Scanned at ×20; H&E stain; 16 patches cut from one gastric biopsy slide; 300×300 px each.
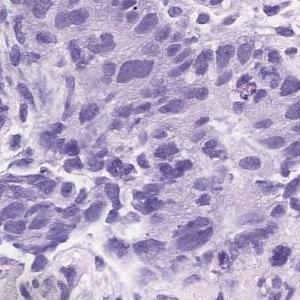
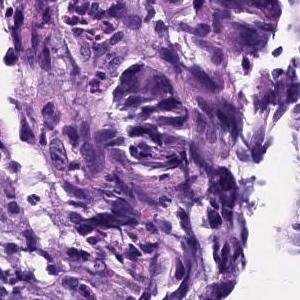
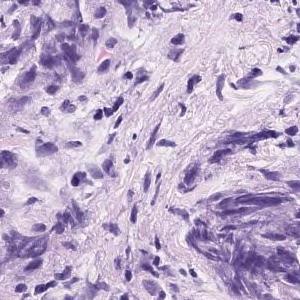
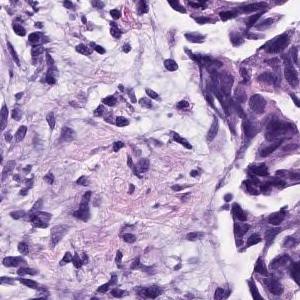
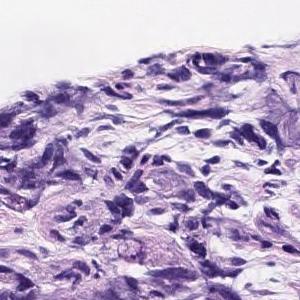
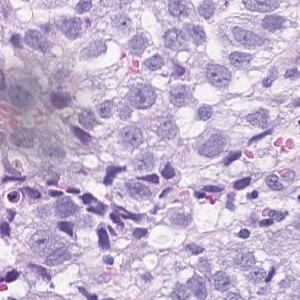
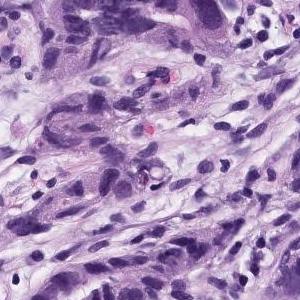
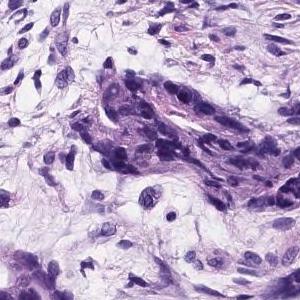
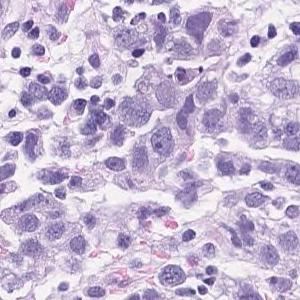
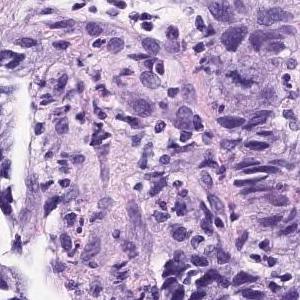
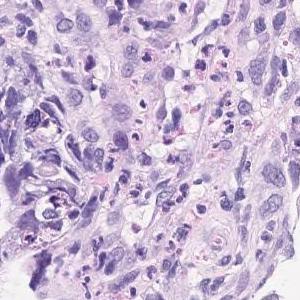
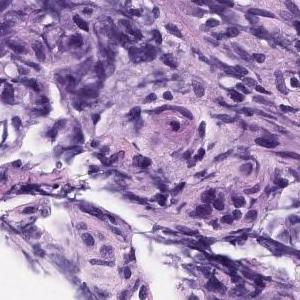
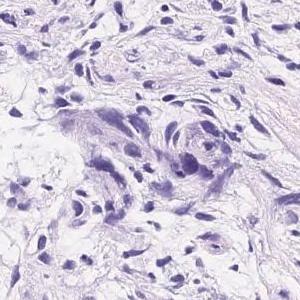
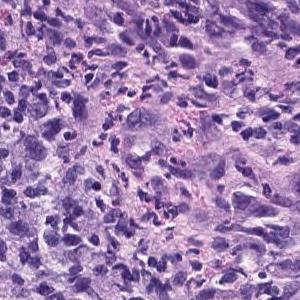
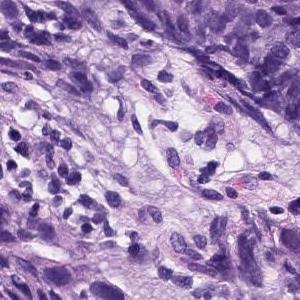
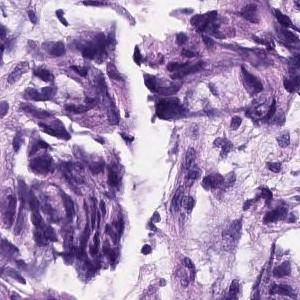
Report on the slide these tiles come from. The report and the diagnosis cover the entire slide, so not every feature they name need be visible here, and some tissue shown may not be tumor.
Atypical epithelial cells with an increased N/C ratio proliferate and consist of a part that shows the formation of gland ducts and a part that shows solid growth. Poorly differentiated adenocarcinoma, solid-type
Classified as poorly differentiated adenocarcinoma, solid type (Japanese Classification of Gastric Carcinoma). The WHO 2019 equivalent is tubular adenocarcinoma, poorly differentiated.
